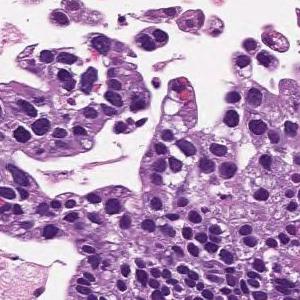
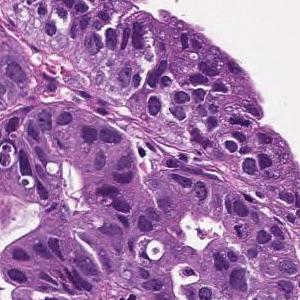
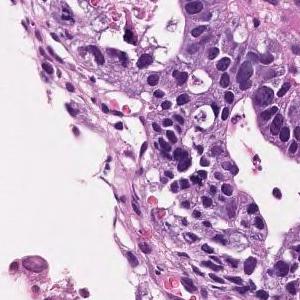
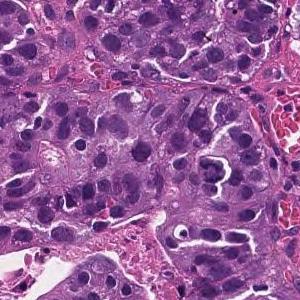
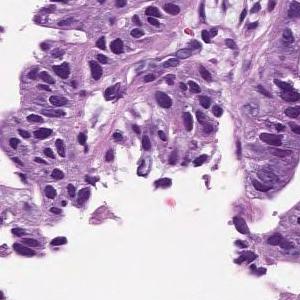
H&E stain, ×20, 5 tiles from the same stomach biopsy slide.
Report on the slide these tiles come from. The findings and the diagnosis refer to the entire slide; these tiles show only part of it, possibly with non-tumor tissue, and may not show every feature named.
On the superficial epithelium, tumor tissue consisting of large, irregular glandular ducts partially fused and infiltrated is observed. Well to moderately differentiated tubular adenocarcinoma (well differentiated tubular adenocarcinoma, moderately differentiated tubular adenocarcinoma)
Histologic type: Well to moderately differentiated tubular adenocarcinoma.
